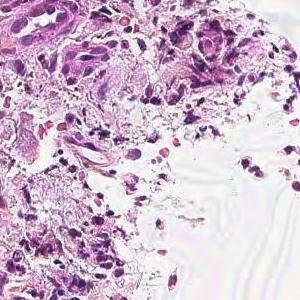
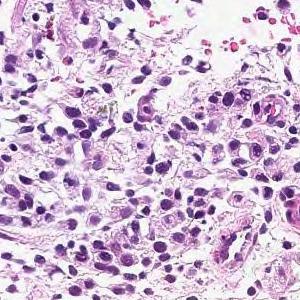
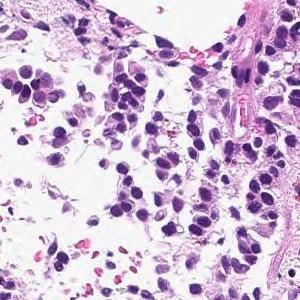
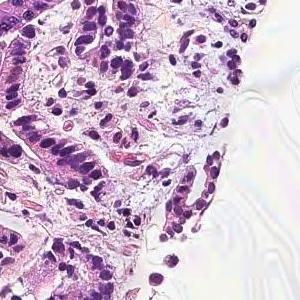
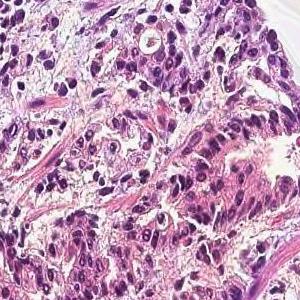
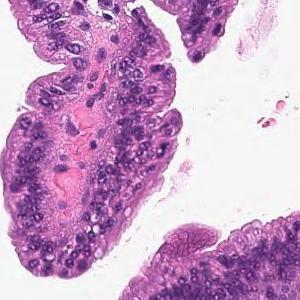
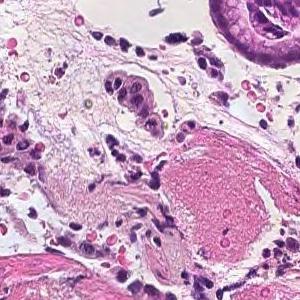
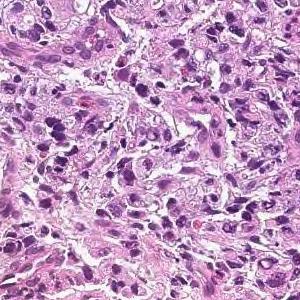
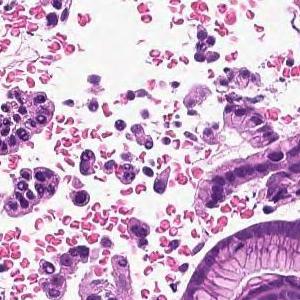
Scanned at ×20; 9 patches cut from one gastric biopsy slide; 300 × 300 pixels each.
Report on the slide these tiles come from. The findings and the diagnosis refer to the entire slide; these tiles show only part of it, possibly with non-tumor tissue, and may not show every feature named.
Tumor tissue consisting of medium-sized, cord-like or irregular glandular infiltration is observed in the superficial epithelium. Poorly differentiated adenocarcinoma, non-solid type or moderately differentiated tubular adenocarcinoma
Histological subtype: Moderately to poorly differentiated adenocarcinoma.
"Non-solid type" is a category of the Japanese Classification of Gastric Carcinoma.
